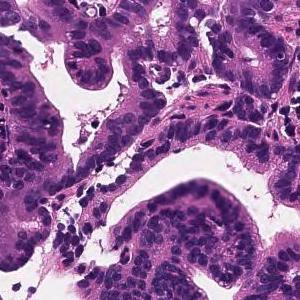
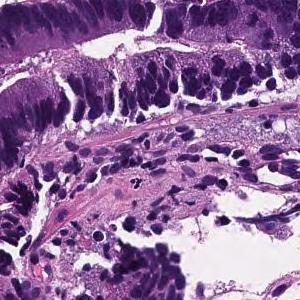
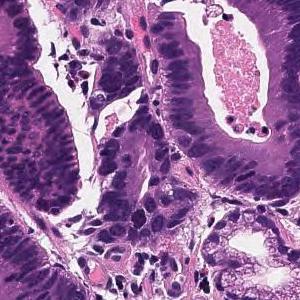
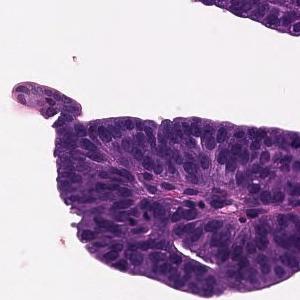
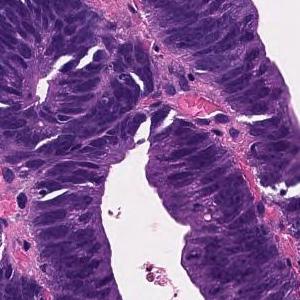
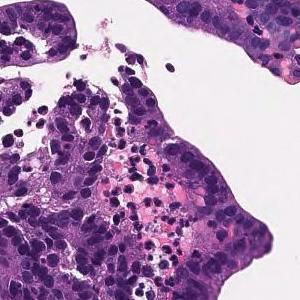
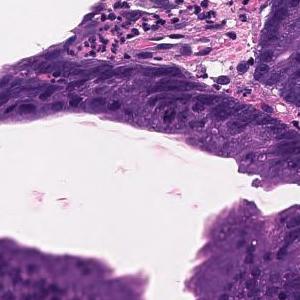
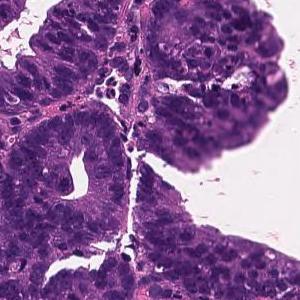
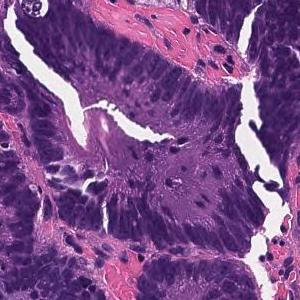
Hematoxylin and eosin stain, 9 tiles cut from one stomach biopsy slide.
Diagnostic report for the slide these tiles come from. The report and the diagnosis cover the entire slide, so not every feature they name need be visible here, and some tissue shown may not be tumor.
Tumor tissue consisting of large papillary structures is found in the superficial epithelium. Papillary adenocarcinoma.
